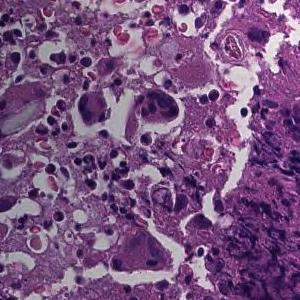
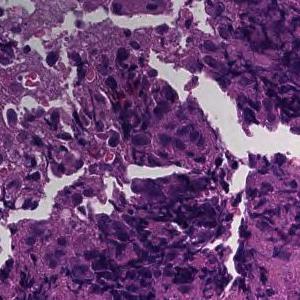
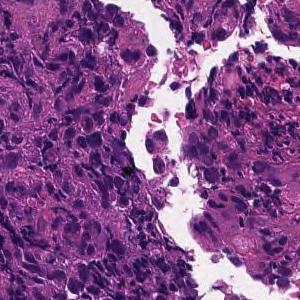
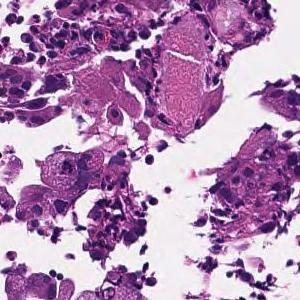
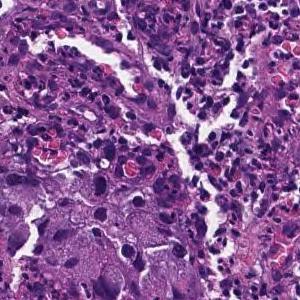
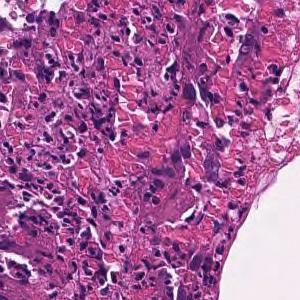
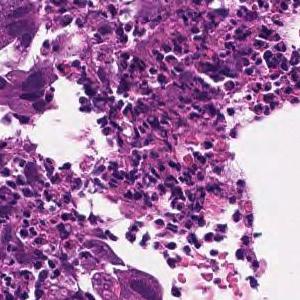
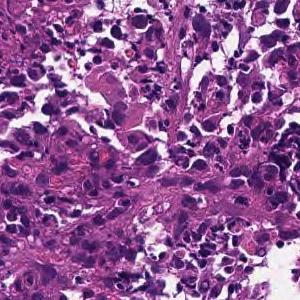
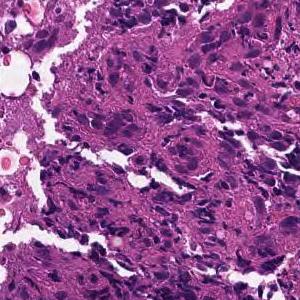
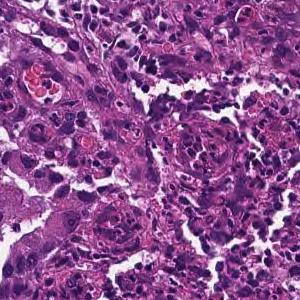
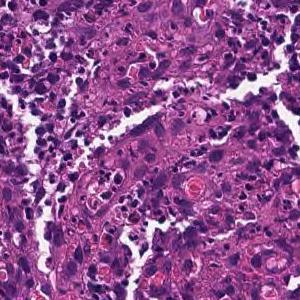
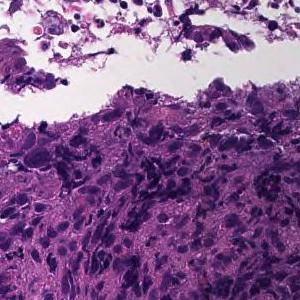
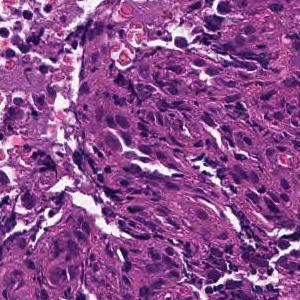
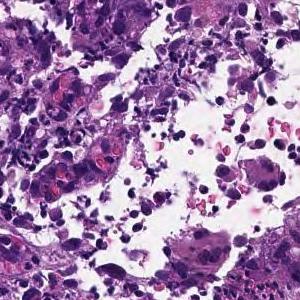
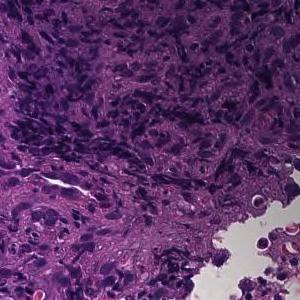
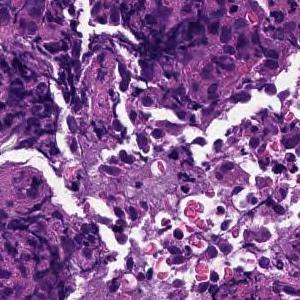
Scanned at ×20, H&E stain, 16 tiles cut from one stomach biopsy slide.
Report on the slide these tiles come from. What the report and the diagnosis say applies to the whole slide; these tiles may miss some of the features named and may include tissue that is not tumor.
Tumor cells are medium to large, cuboidal, and have little tendency to differentiate. Poorly differentiated adenocarcinoma, solid-type  or moderately differentiated tubular adenocarcinoma
Dataset label: poorly differentiated adenocarcinoma, solid type (Japanese Classification of Gastric Carcinoma). The WHO 2019 equivalent is tubular adenocarcinoma, poorly differentiated.
